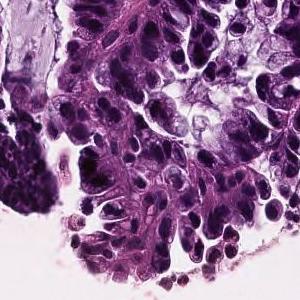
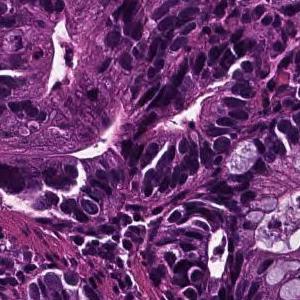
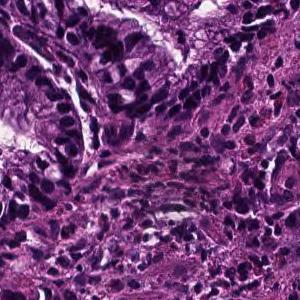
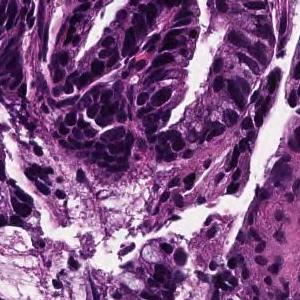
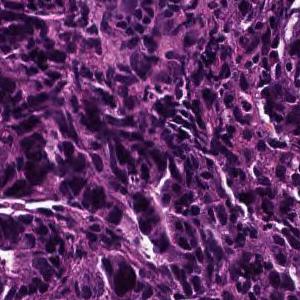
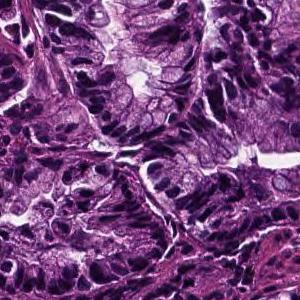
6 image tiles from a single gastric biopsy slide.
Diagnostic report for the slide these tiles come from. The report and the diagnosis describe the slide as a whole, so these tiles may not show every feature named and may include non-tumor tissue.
In the superficial epithelium, tumor tissue that invades by forming medium-sized to small, irregular ducts is observed. Well differentiated tubular adenocarcinoma.
